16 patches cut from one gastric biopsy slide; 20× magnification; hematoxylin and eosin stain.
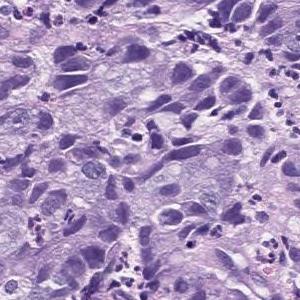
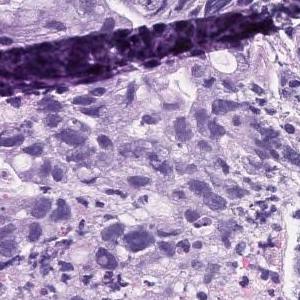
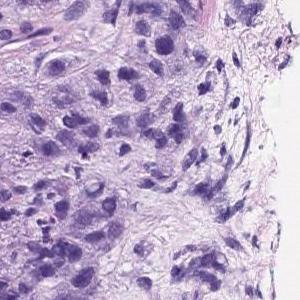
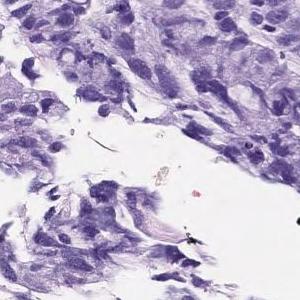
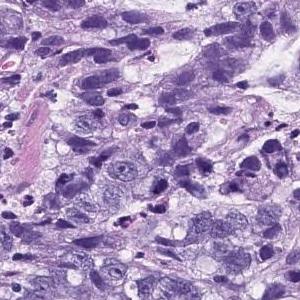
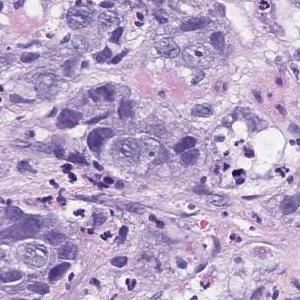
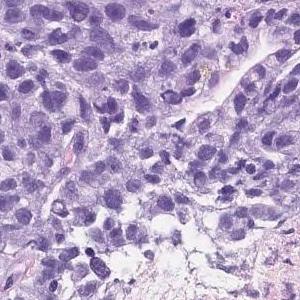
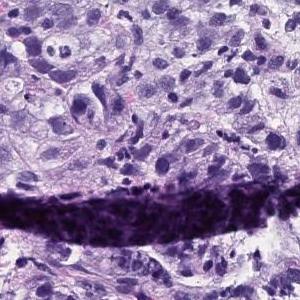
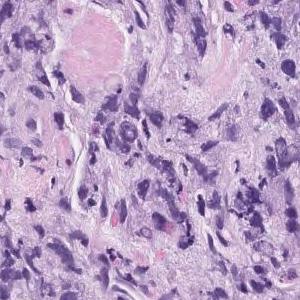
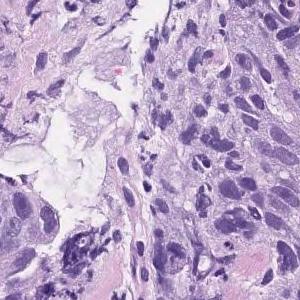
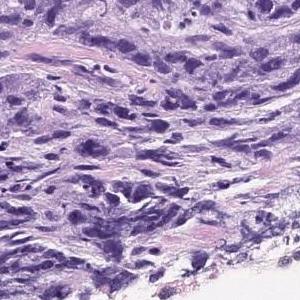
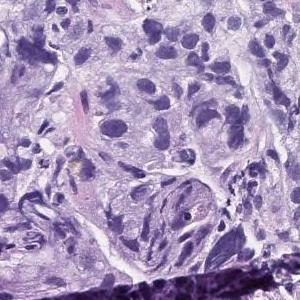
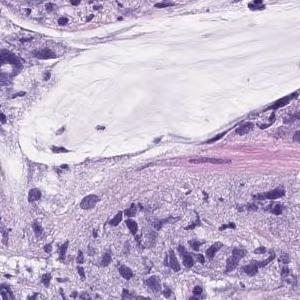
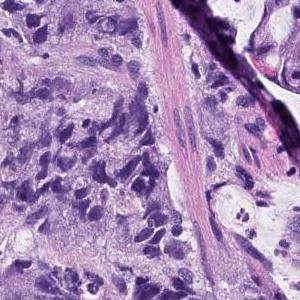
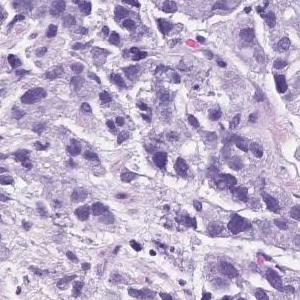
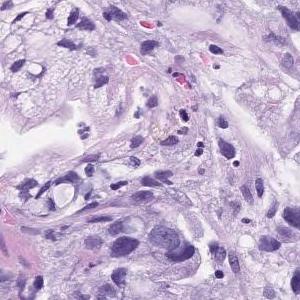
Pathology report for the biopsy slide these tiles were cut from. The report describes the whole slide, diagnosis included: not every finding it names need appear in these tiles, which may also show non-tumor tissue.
Atypical l cells with atypical nuclei forming solid vesicles or small irregular atypical ducts that proliferate in a complex manner. poorly differentiated adenocarcinoma, solid type, moderately differentiated tubular adenocarcinoma
The term "solid type" comes from the Japanese Classification of Gastric Carcinoma; the WHO 2019 equivalent is tubular adenocarcinoma, poorly differentiated.
